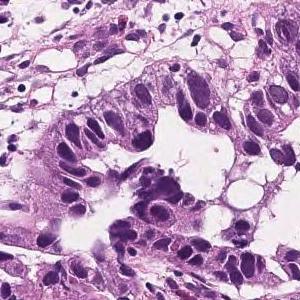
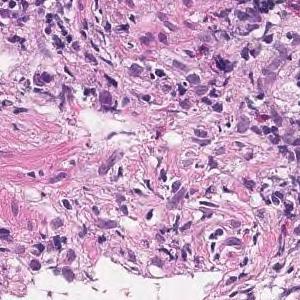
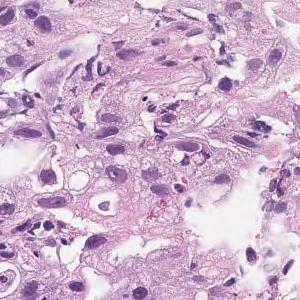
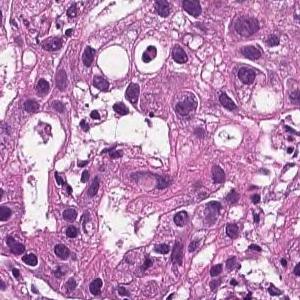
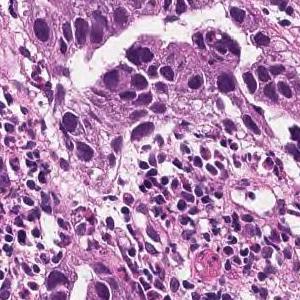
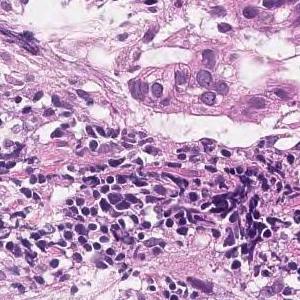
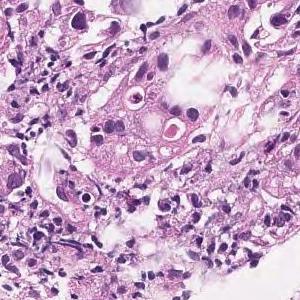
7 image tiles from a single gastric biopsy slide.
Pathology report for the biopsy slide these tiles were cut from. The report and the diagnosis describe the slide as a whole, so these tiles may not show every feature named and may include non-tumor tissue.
In the superficial epithelium, tumor tissue that invades by forming medium-sized to small, irregular ducts is observed. moderately differentiated tubular adenocarcinoma.
